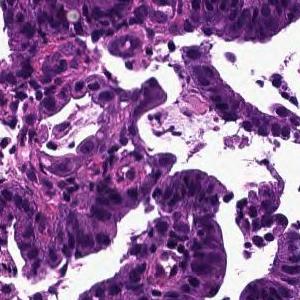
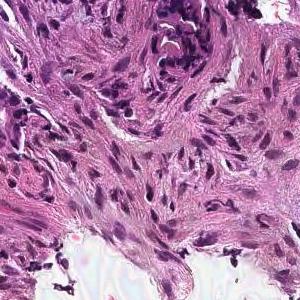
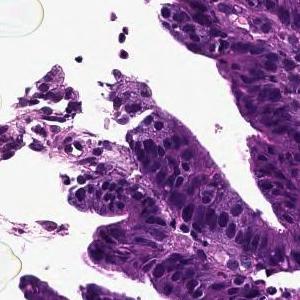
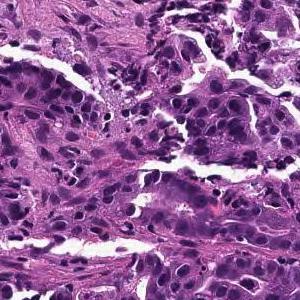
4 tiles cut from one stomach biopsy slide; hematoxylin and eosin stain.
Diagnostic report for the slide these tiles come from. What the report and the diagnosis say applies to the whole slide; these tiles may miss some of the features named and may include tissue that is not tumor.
Tumor cells are large, highly columnar, large club-shaped nuclei, and are associated with chromatin aggregation. Papillary adenocarcinoma.
